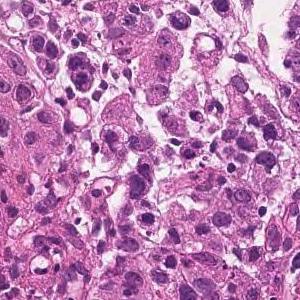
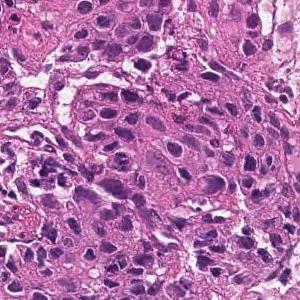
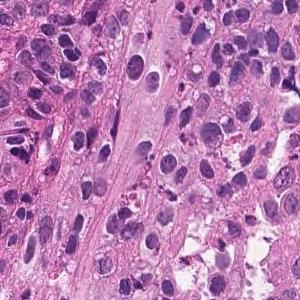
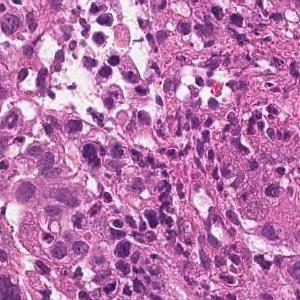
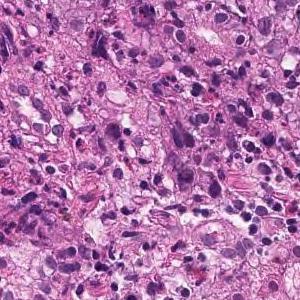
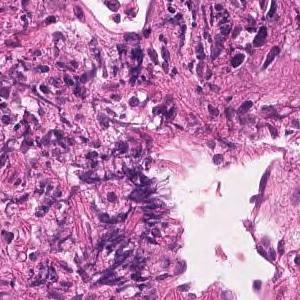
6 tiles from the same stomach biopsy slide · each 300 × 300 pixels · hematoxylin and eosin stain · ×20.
Pathology report for the biopsy slide these tiles were cut from. Both the report and the diagnosis are for the whole slide: these tiles need not show every feature named, and some of the tissue shown may not be tumor.
The superficial epithelium shows a large sheet-like shape, and some tumor tissue infiltrates with small irregular ducts. Poorly differentiated adenocarcinoma, solid-type
Classified as poorly differentiated adenocarcinoma, solid type. This name comes from the Japanese Classification of Gastric Carcinoma; the WHO 2019 classification calls it tubular adenocarcinoma, poorly differentiated.
